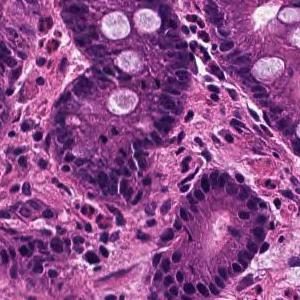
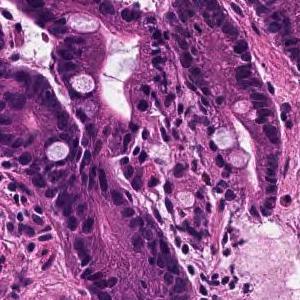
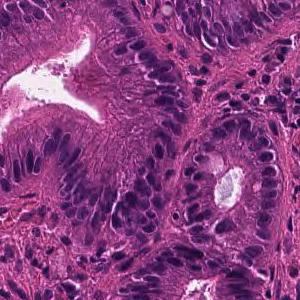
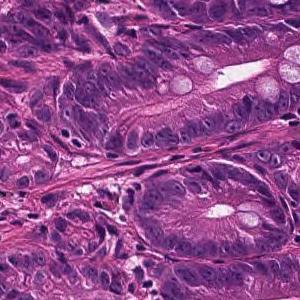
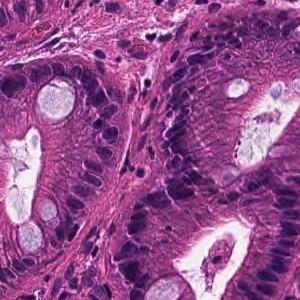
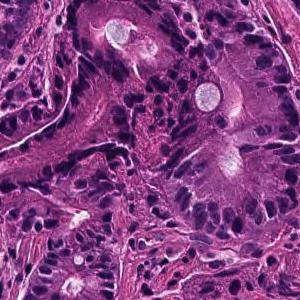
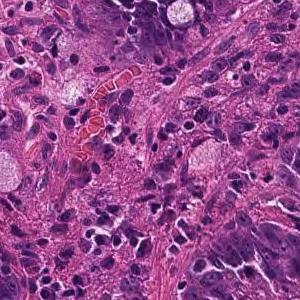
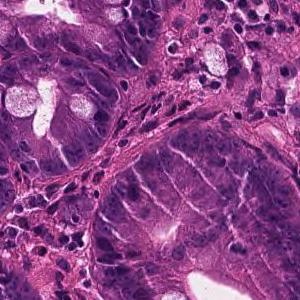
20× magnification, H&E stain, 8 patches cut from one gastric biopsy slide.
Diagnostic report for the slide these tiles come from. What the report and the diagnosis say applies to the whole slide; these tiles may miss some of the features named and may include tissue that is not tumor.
Medium to small, irregular glandular ducts are formed in the superficial epithelium, and in some cases, the glandular ducts are fused to show solid alveolar lesions and infiltrating tumor tissue is observed. Moderately to poorly differentiated adenocarcinoma.
